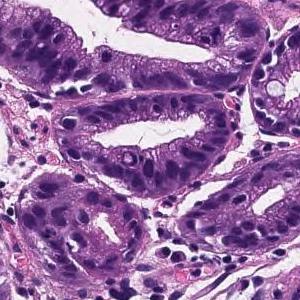
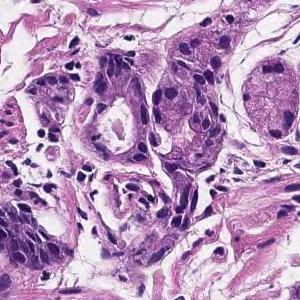
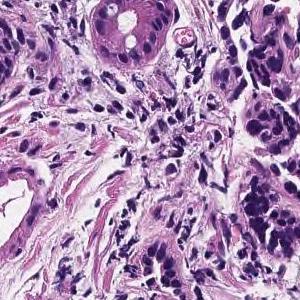
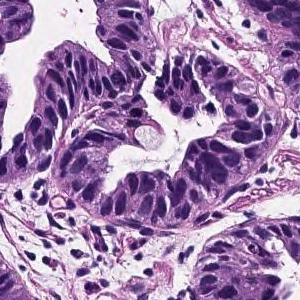
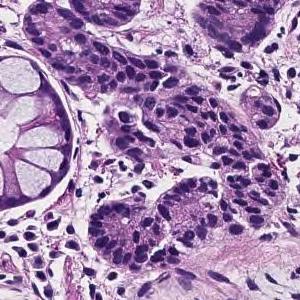
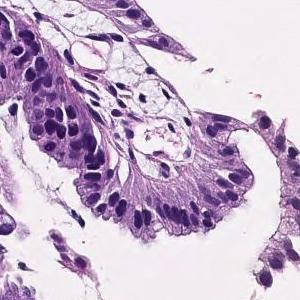
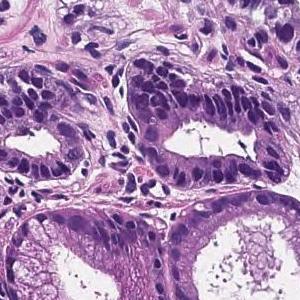
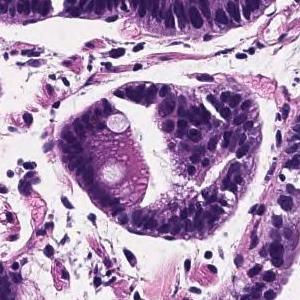
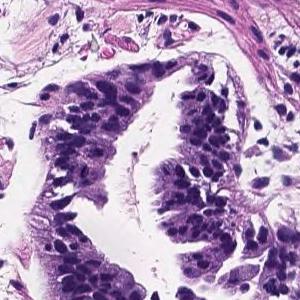
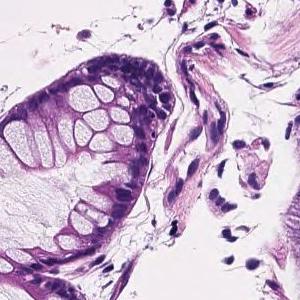
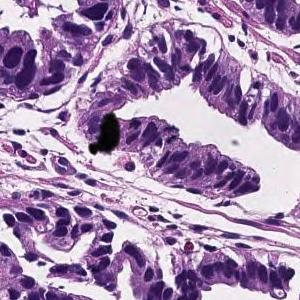
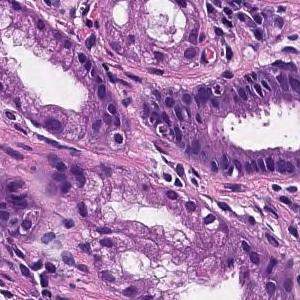
12 tiles cut from one stomach biopsy slide; H&E stain.
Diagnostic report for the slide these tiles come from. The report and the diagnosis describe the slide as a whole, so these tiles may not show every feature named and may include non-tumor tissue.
Tumor cells are large, highly columnar, large club-shaped nuclei, and are associated with chromatin aggregation. Papillary adenocarcinoma.
